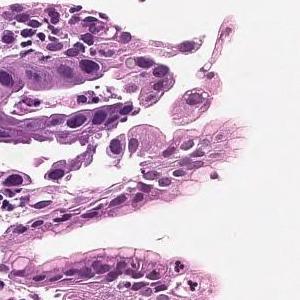
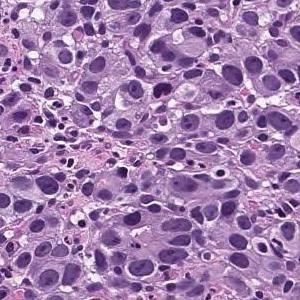
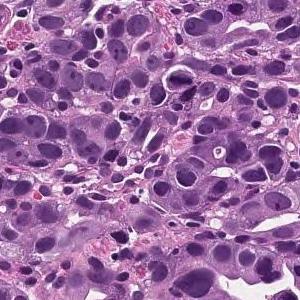
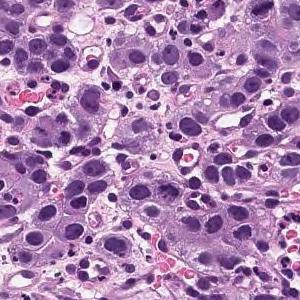
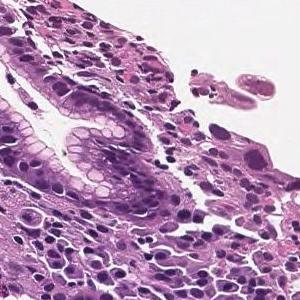
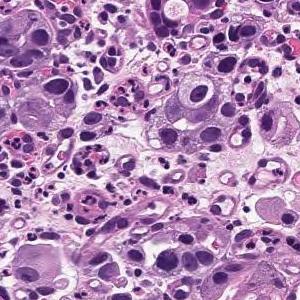
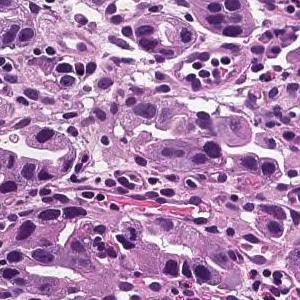
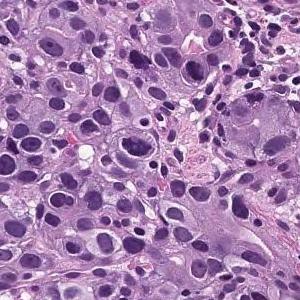
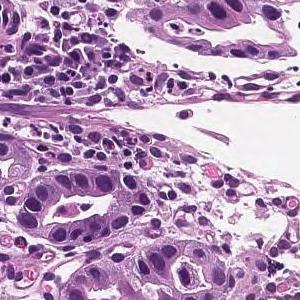
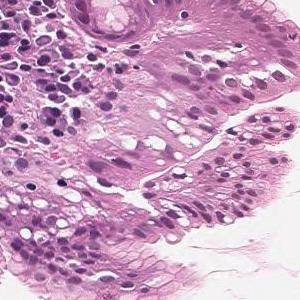
×20 · hematoxylin and eosin stain · 10 patches cut from one gastric biopsy slide · each 300 × 300 pixels.
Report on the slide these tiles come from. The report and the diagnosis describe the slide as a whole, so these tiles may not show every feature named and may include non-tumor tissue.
The superficial epithelium shows a large sheet or alveolar shape, and tumor tissue infiltrating without irregular ducts is observed. Poorly differentiated adenocarcinoma, solid-type
Classified as poorly differentiated adenocarcinoma, solid type (Japanese Classification of Gastric Carcinoma). The WHO 2019 equivalent is tubular adenocarcinoma, poorly differentiated.
